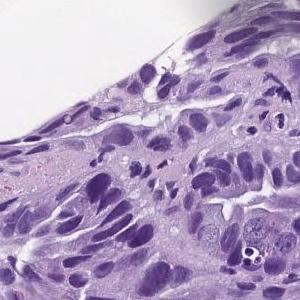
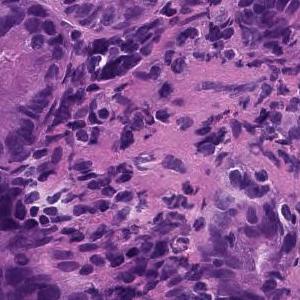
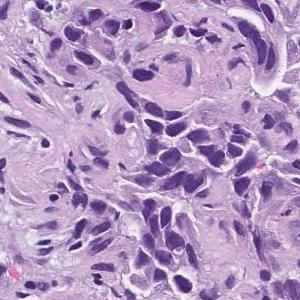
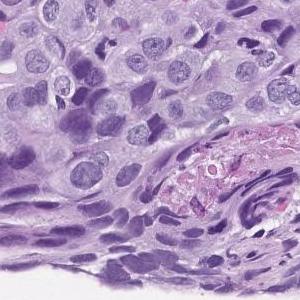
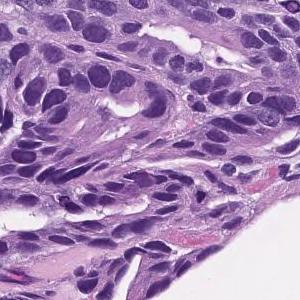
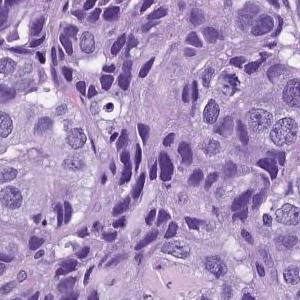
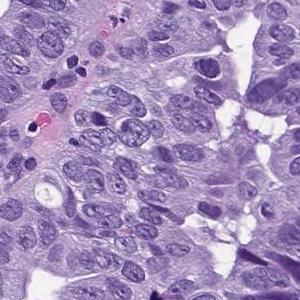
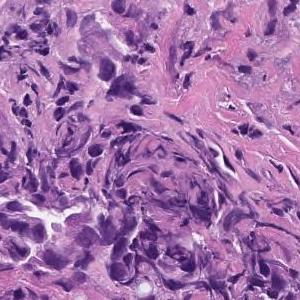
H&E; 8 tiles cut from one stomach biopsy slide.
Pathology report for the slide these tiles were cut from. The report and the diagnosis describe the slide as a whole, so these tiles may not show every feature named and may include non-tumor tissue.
In the superficial epithelium, tumor tissue that invades by forming medium-sized to small, irregular ducts is observed. moderately differentiated tubular adenocarcinoma.
